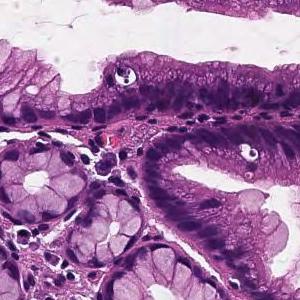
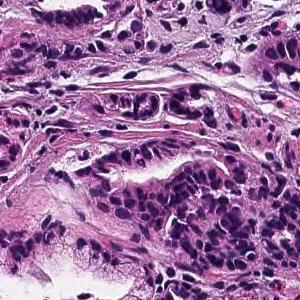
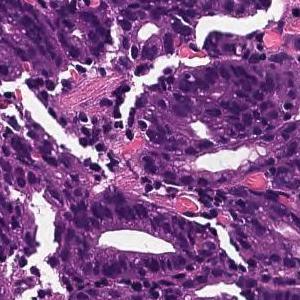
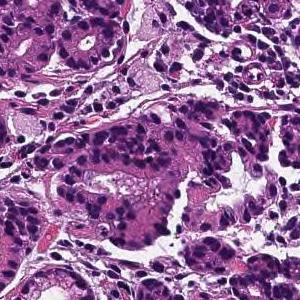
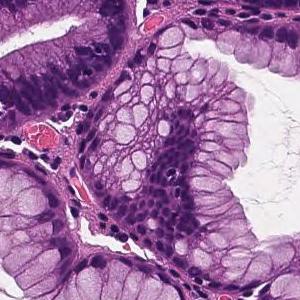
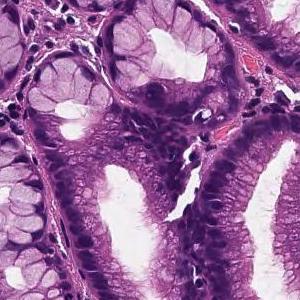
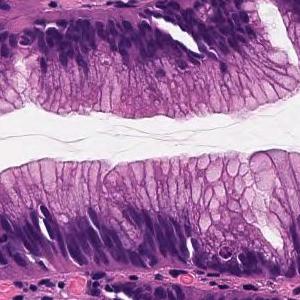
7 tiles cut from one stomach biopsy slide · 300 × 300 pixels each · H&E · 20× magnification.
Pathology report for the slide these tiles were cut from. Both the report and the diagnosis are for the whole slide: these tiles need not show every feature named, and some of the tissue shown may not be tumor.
Cells with elliptical or atypical nuclei form dense ducts with relatively clear growth. Well differentiated tubular adenocarcinoma
